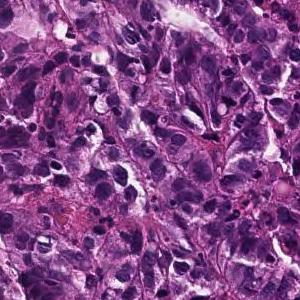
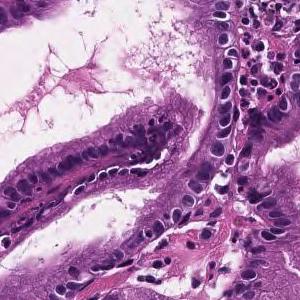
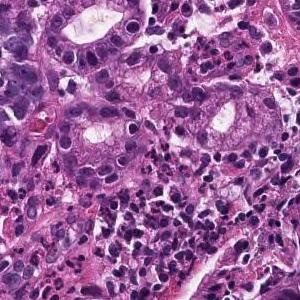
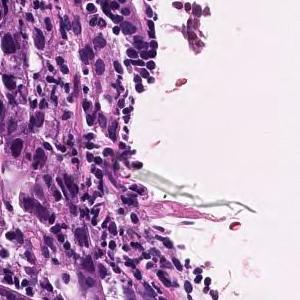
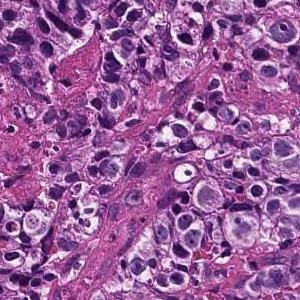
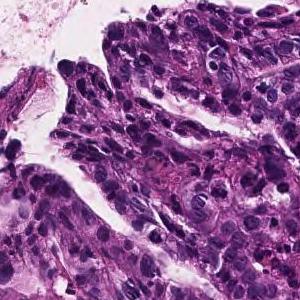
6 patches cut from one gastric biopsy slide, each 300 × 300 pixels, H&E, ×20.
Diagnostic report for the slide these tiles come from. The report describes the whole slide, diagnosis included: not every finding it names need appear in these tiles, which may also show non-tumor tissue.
In the superficial epithelium, tumor tissue that invades by forming medium-sized to small, irregular ducts is observed. moderately differentiated tubular adenocarcinoma.
